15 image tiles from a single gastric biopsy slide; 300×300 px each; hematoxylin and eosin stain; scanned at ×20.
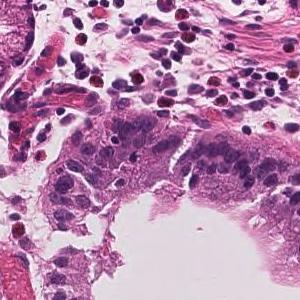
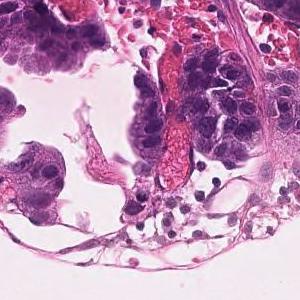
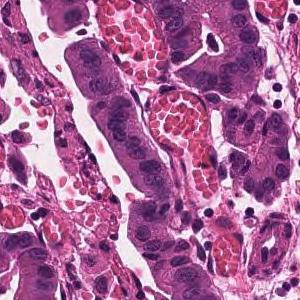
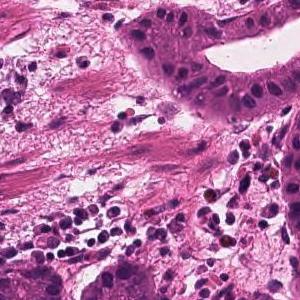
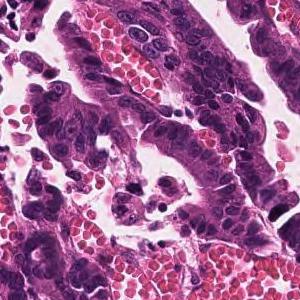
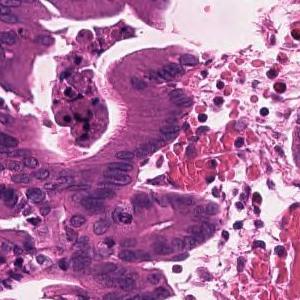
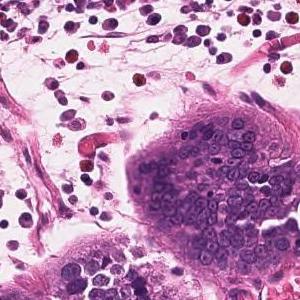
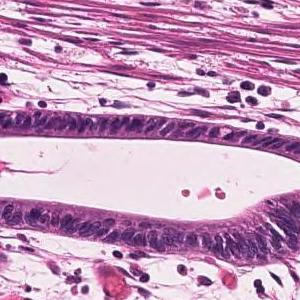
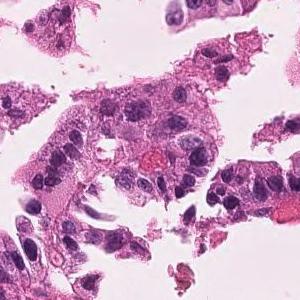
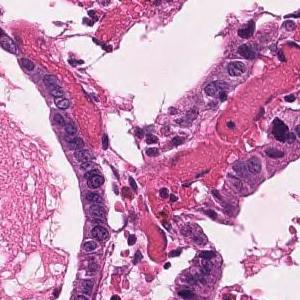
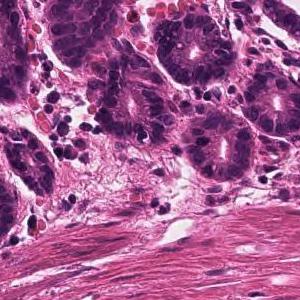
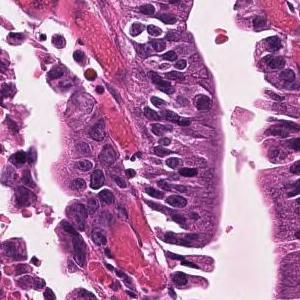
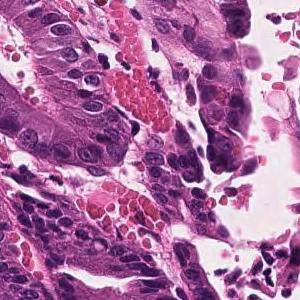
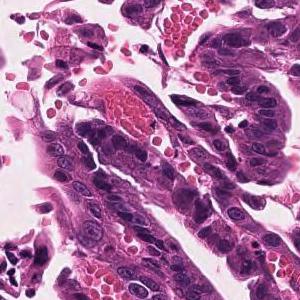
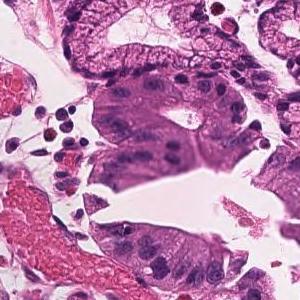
Report on the slide these tiles come from. The report and the diagnosis cover the entire slide, so not every feature they name need be visible here, and some tissue shown may not be tumor.
Infiltrating tumor tissue with medium-sized, irregular ductal structure or large papillary appearance is observed. Well differentiated tubular adenocarcinoma
